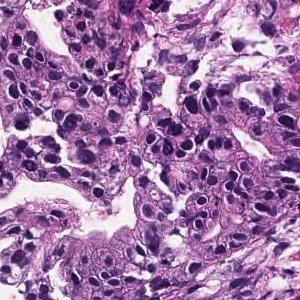
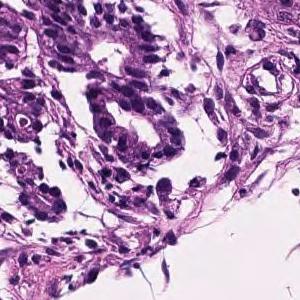
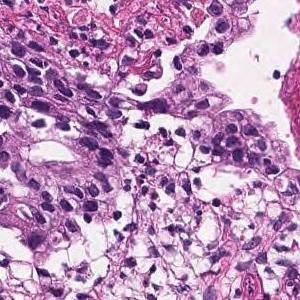
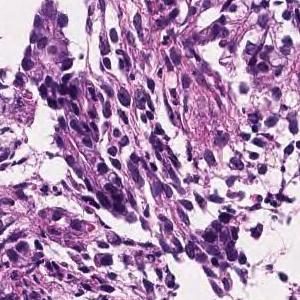
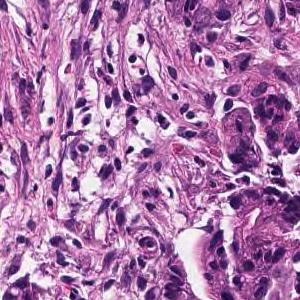
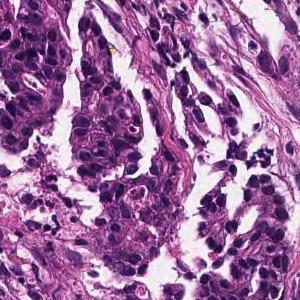
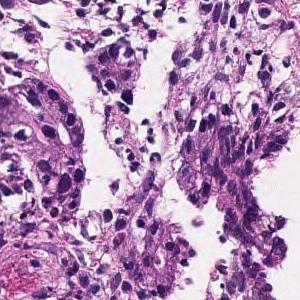
7 tiles from the same stomach biopsy slide; 300×300 px each; H&E stain.
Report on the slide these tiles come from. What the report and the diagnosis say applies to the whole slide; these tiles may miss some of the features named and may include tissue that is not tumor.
In the superficial epithelium, medium to small, irregular gland ducts are formed, and in some cases, the gland ducts are fused to show solid alveolar lesions and infiltrating tumor tissue is observed. Moderately to poorly differentiated adenocarcinoma.
